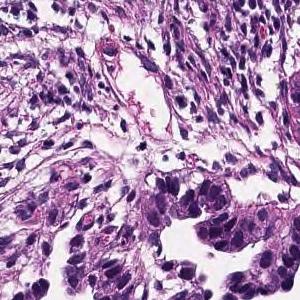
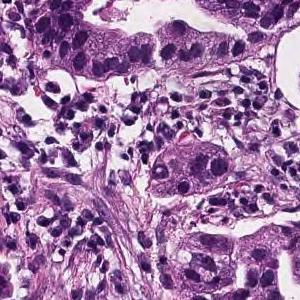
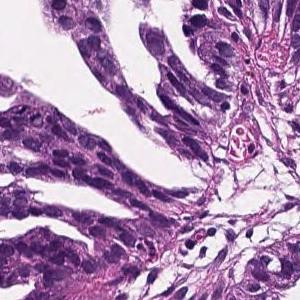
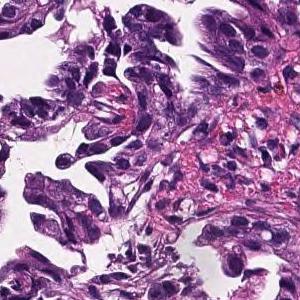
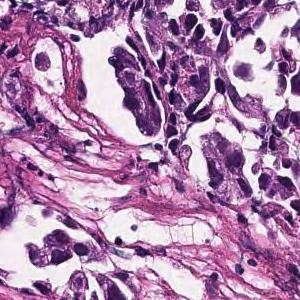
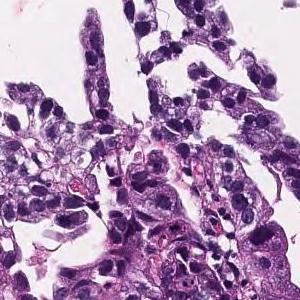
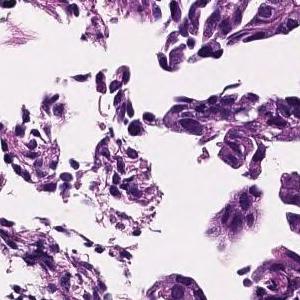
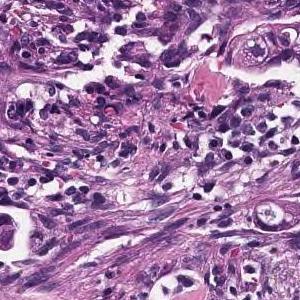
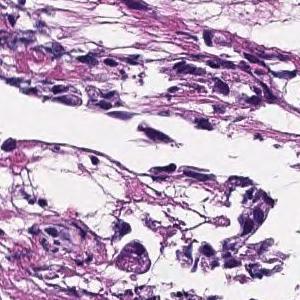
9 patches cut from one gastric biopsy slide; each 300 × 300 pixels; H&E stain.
The pathologist's report on the biopsy slide these tiles were taken from. The findings and the diagnosis refer to the entire slide; these tiles show only part of it, possibly with non-tumor tissue, and may not show every feature named.
In the lamina propria, tumor tissue that invades by forming medium-sized to small, irregular glandular ducts is observed. moderately differentiated tubular adenocarcinoma
